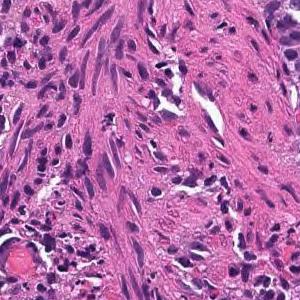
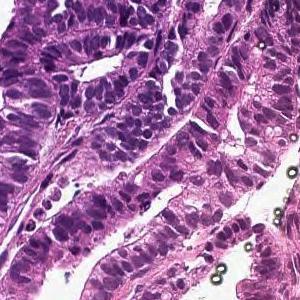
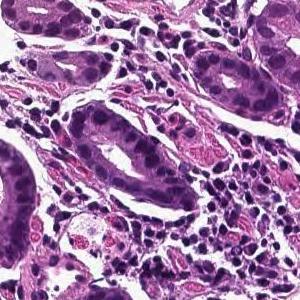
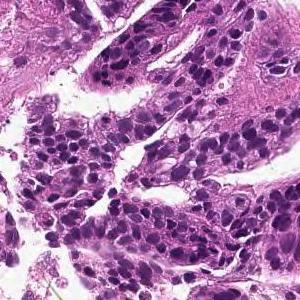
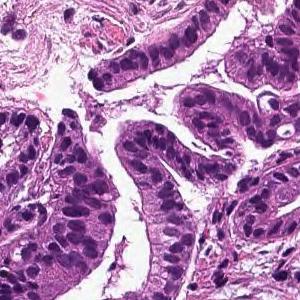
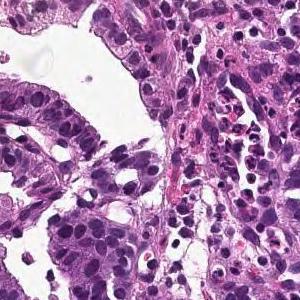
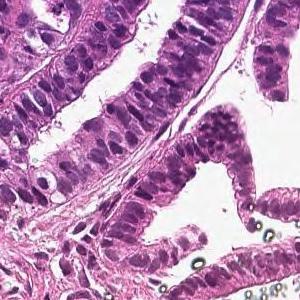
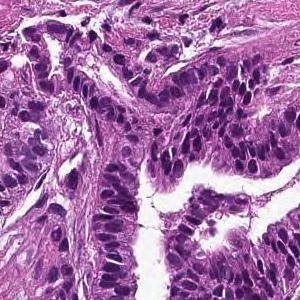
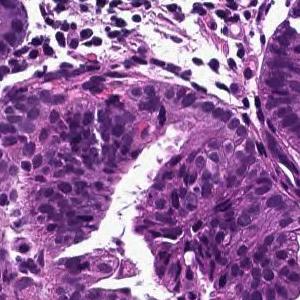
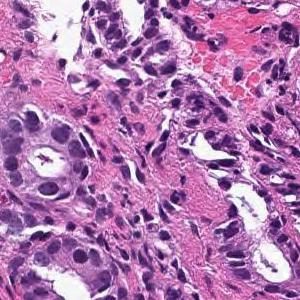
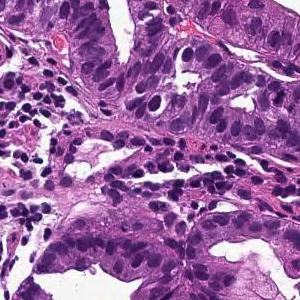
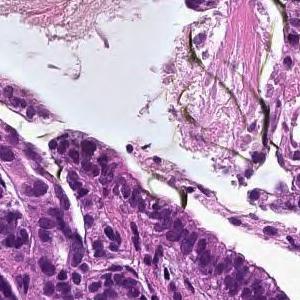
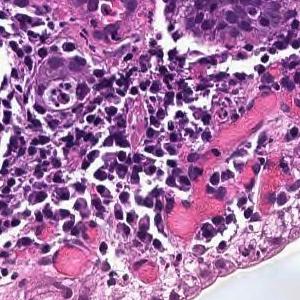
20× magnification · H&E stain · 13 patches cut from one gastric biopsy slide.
Pathology report for the slide these tiles were cut from. The findings and the diagnosis refer to the entire slide; these tiles show only part of it, possibly with non-tumor tissue, and may not show every feature named.
Tumor cells are large, highly columnar, large club-shaped nuclei, and are associated with chromatin aggregation. Papillary adenocarcinoma.
